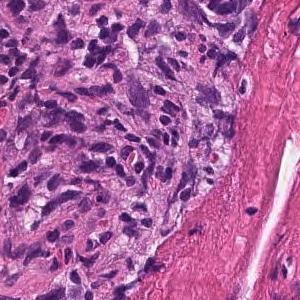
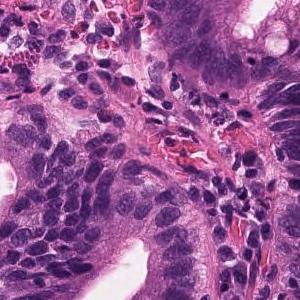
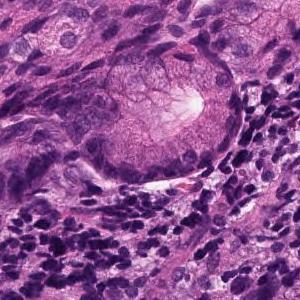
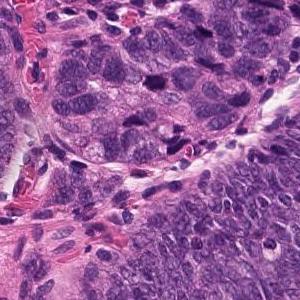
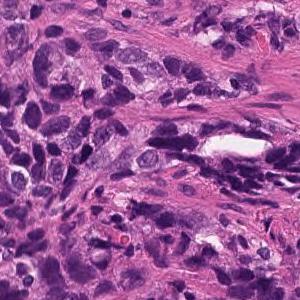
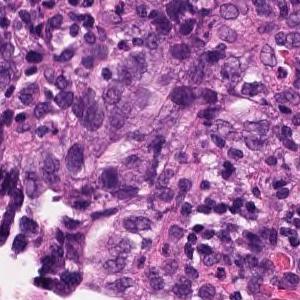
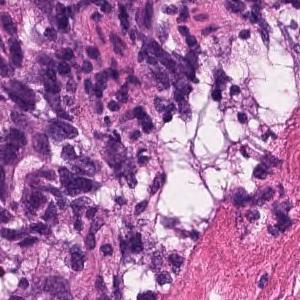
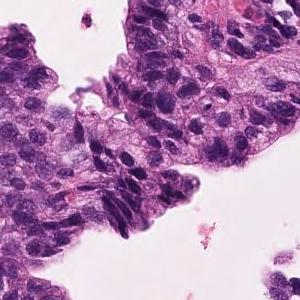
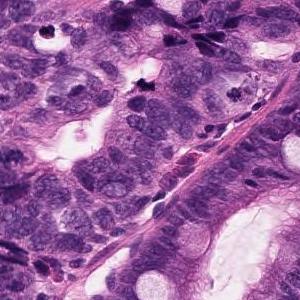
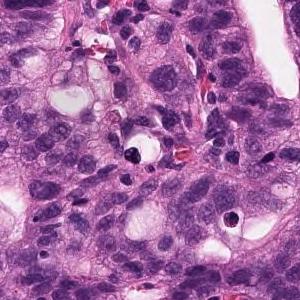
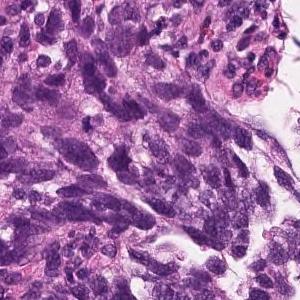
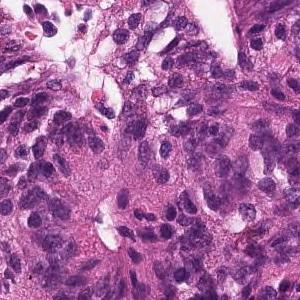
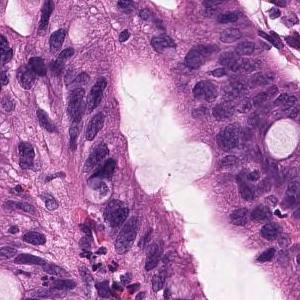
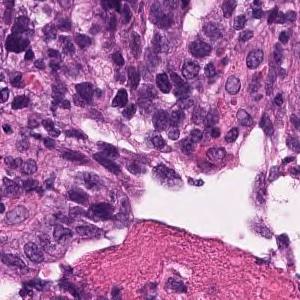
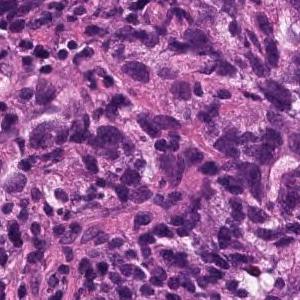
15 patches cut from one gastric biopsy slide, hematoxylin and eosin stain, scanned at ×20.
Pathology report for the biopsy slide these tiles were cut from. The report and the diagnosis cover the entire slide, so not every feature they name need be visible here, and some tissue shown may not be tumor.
In the superficial epithelium, tumor tissue that invades by forming medium-sized to small, irregular ducts is observed. Moderately differentiated adenocarcinoma.
Histologic type: Moderately differentiated tubular adenocarcinoma.
